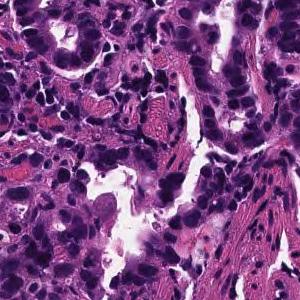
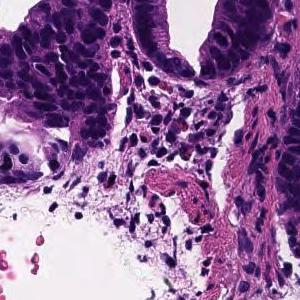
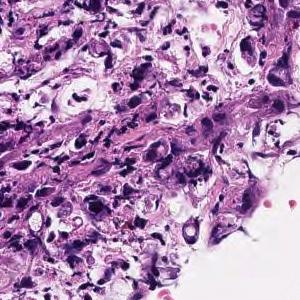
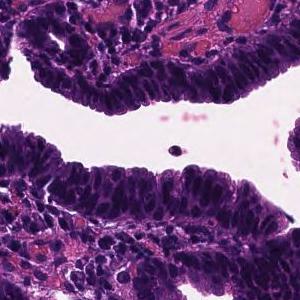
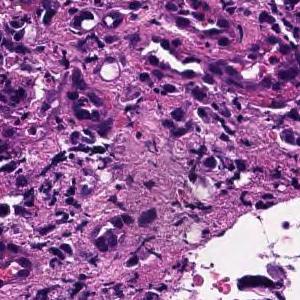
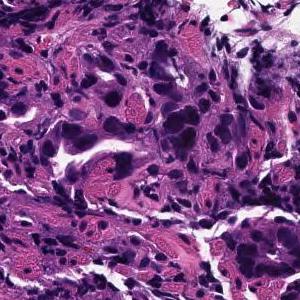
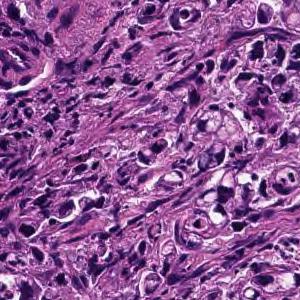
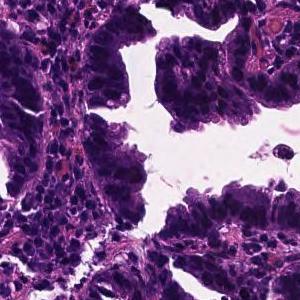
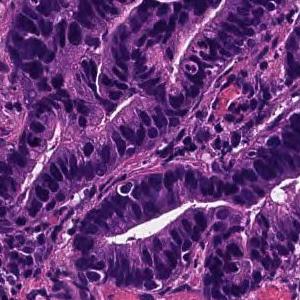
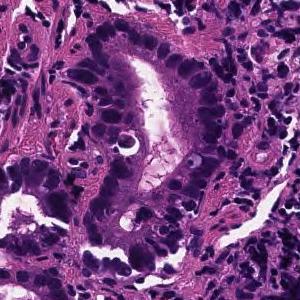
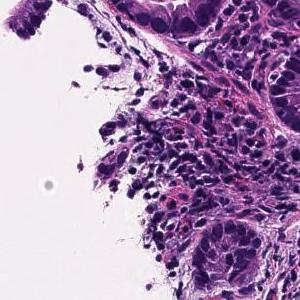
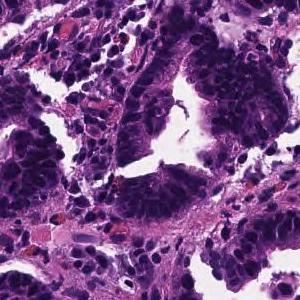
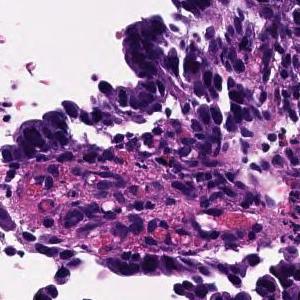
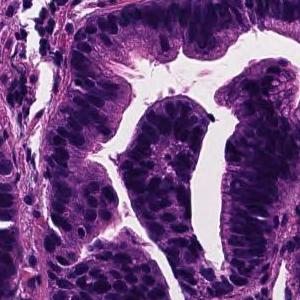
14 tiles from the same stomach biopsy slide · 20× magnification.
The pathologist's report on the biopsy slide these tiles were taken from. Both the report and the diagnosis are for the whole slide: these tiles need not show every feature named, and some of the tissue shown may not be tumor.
On the superficial epithelium, tumor tissue that infiltrates by forming medium-sized papillary or small irregular ducts is observed. Papillary adenocarcinoma
